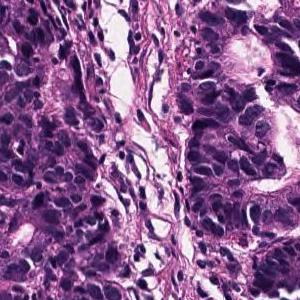
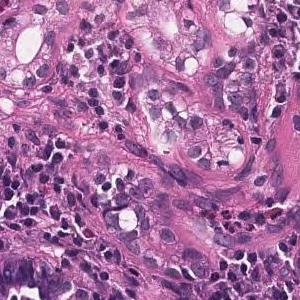
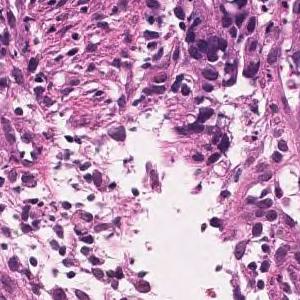
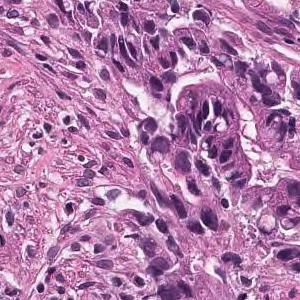
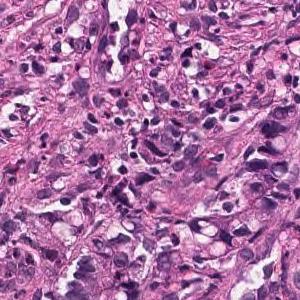
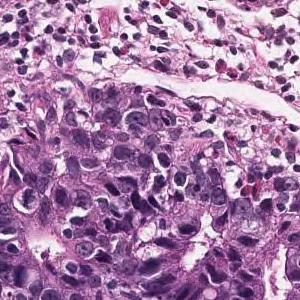
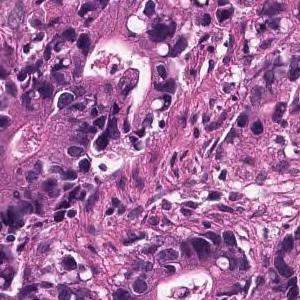
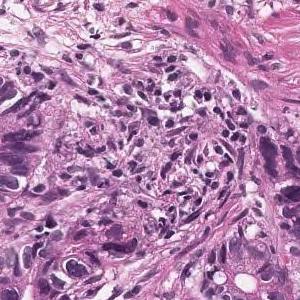
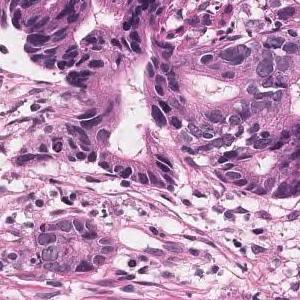
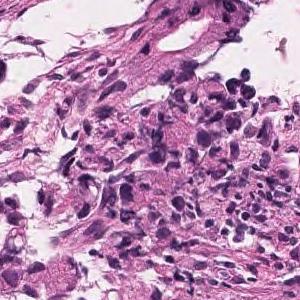
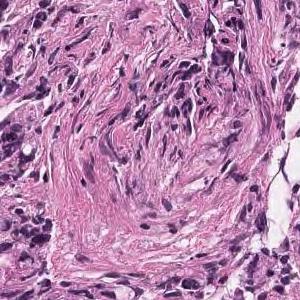
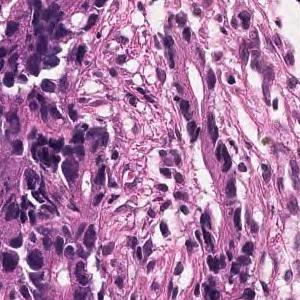
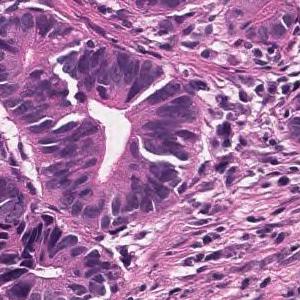
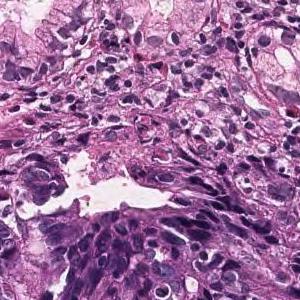
14 tiles from the same stomach biopsy slide, each 300 × 300 pixels, 20× magnification, H&E stain.
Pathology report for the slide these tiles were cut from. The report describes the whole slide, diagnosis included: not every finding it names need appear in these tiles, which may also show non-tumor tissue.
In the superficial epithelium, tumor tissue is found in which medium-sized irregular gland ducts fuse with each other and infiltrate. moderately differentiated tubular adenocarcinoma
